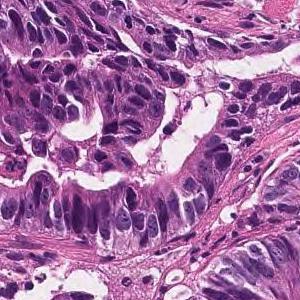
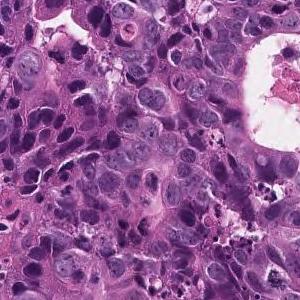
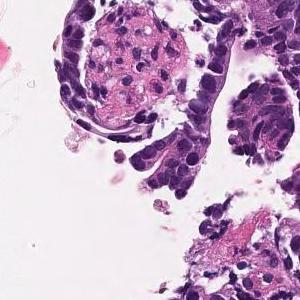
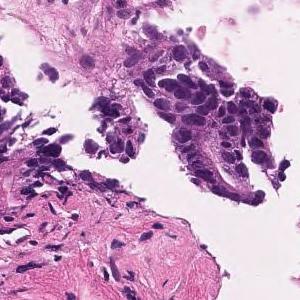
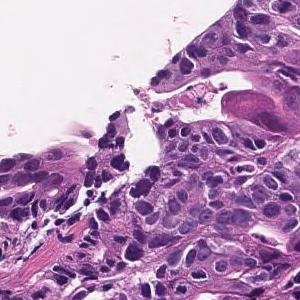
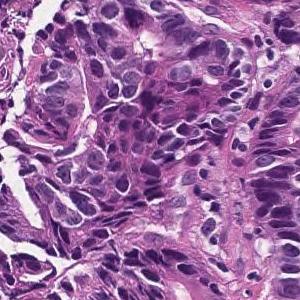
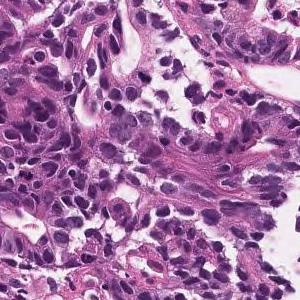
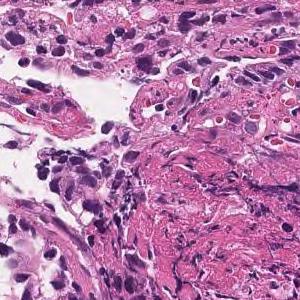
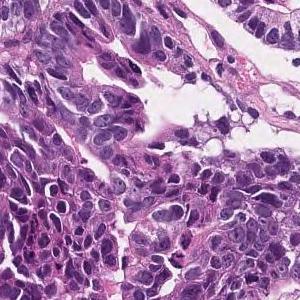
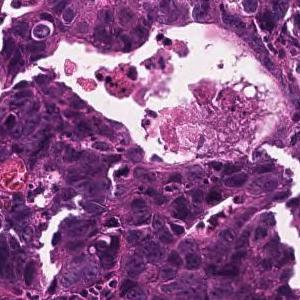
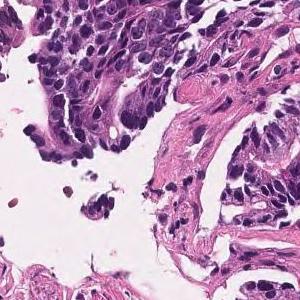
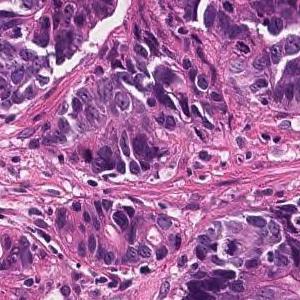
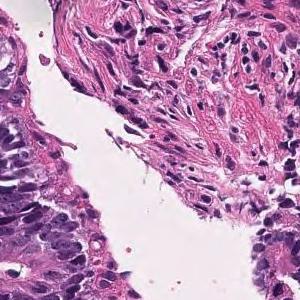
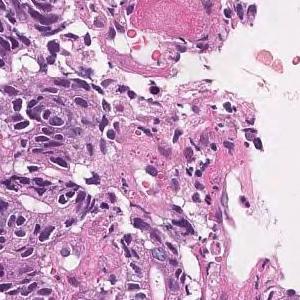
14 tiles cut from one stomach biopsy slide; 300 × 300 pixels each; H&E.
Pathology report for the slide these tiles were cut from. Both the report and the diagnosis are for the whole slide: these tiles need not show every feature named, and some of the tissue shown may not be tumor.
In the superficial epithelium, tumor tissue that invades by forming medium-sized to small, irregular ducts is observed. moderately differentiated tubular adenocarcinoma.
